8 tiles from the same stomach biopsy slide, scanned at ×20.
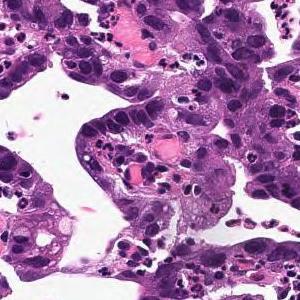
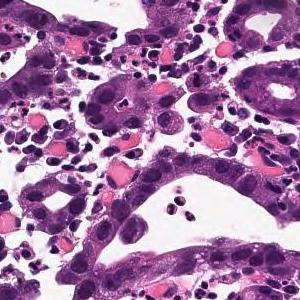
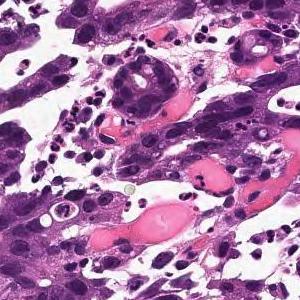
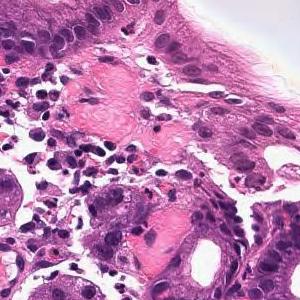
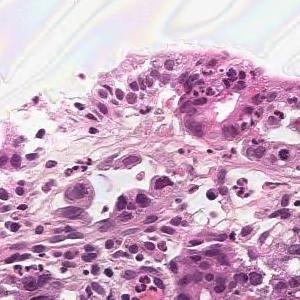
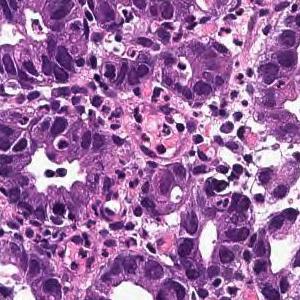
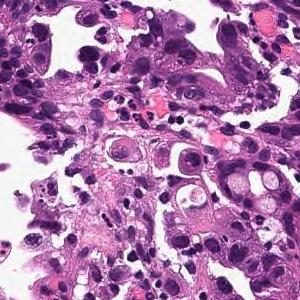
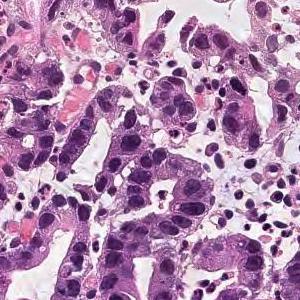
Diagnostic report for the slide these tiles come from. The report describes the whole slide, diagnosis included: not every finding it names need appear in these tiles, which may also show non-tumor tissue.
On the superficial epithelium, a tumor tissue consisting of a large, irregular glandular duct partially fused and infiltrating with a small alveolar shape is observed. Well or moderately differentiated tubular adenocarcinoma (well differentiated tubular adenocarcinoma, moderately differentiated tubular adenocarcinoma)
Subtype: Well to moderately differentiated tubular adenocarcinoma.
